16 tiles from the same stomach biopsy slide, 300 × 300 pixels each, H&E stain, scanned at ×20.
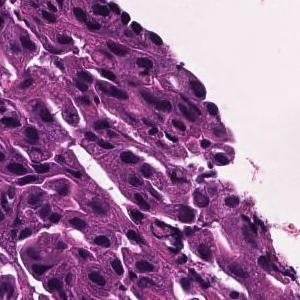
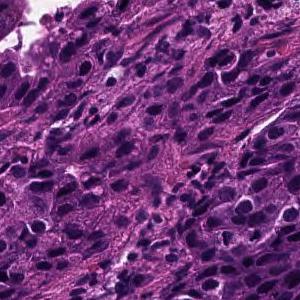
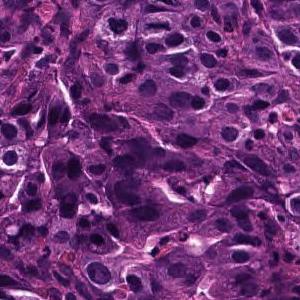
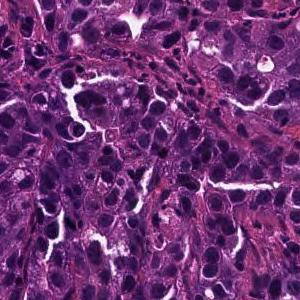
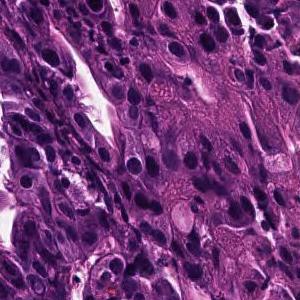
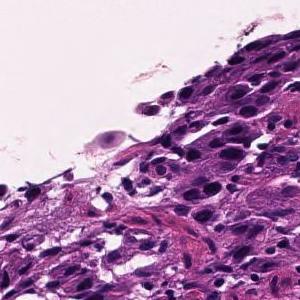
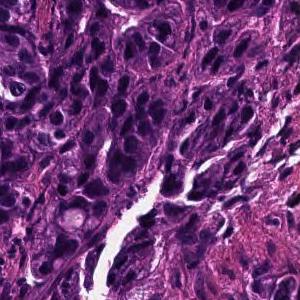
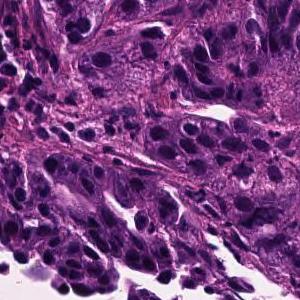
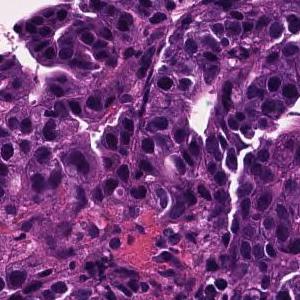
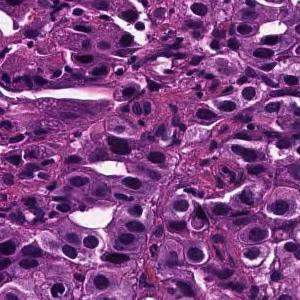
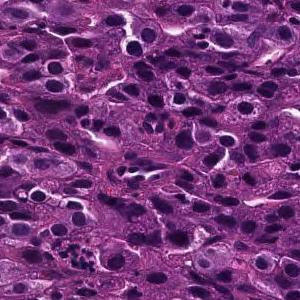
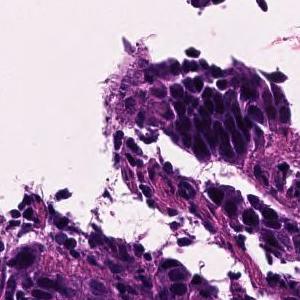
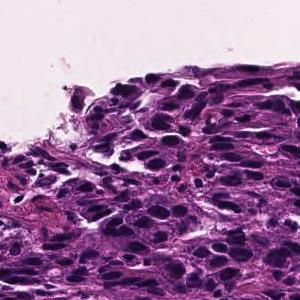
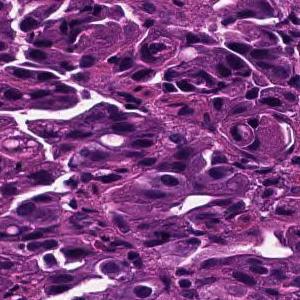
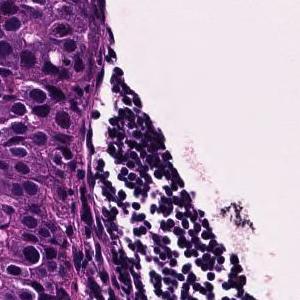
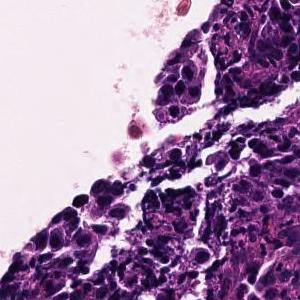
Diagnostic report for the slide these tiles come from. The report describes the whole slide, diagnosis included: not every finding it names need appear in these tiles, which may also show non-tumor tissue.
Tumor tissue consisting of medium-sized, cord-like or irregular glandular fusion and infiltration is observed in the superficial epithelium. Poorly differentiated adenocarcinoma, non-solid type or moderately differentiated tubular adenocarcinoma
Histologic type: Moderately to poorly differentiated adenocarcinoma.
"Non-solid type" is a category of the Japanese Classification of Gastric Carcinoma.
